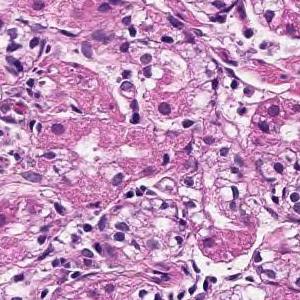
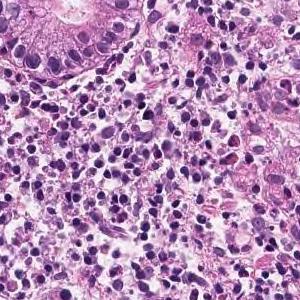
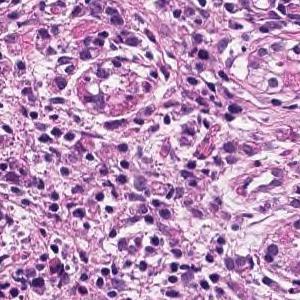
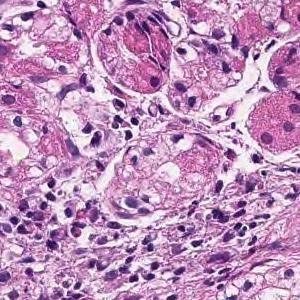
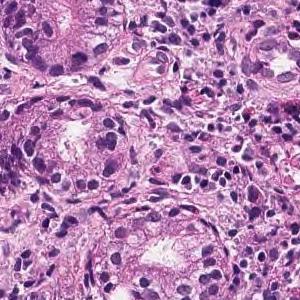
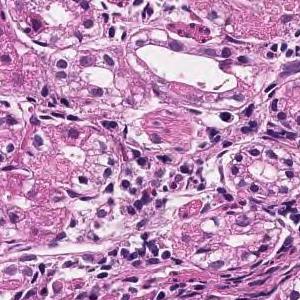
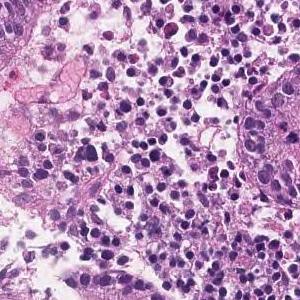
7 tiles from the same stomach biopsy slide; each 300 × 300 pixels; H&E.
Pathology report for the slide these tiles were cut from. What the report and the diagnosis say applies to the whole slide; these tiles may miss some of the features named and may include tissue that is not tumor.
Tumor tissue consisting of cord-like or small, irregular glandular ducts fused and infiltrated is observed in the superficial epithelium. Poorly differentiated adenocarcinoma, non-solid type
The non-solid type named here is a Japanese Classification of Gastric Carcinoma category.
